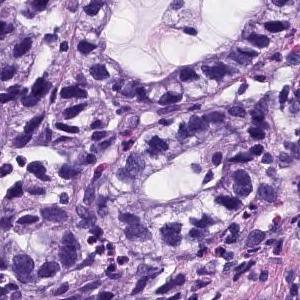
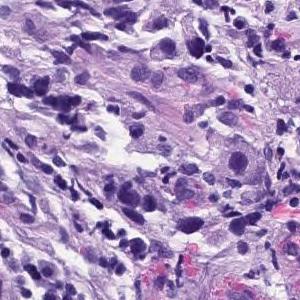
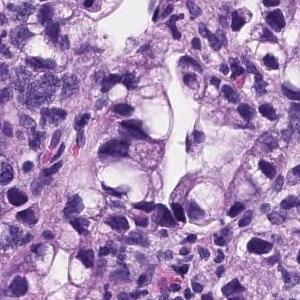
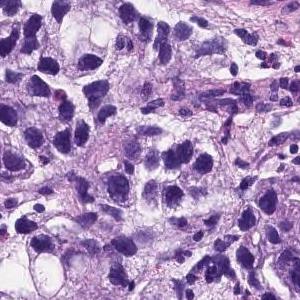
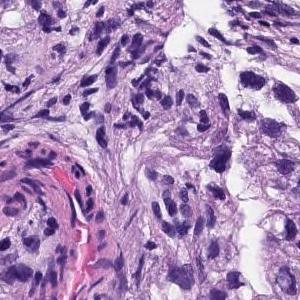
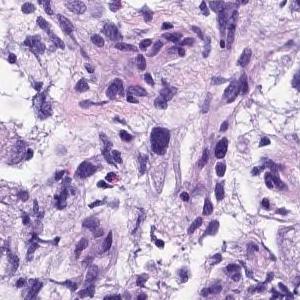
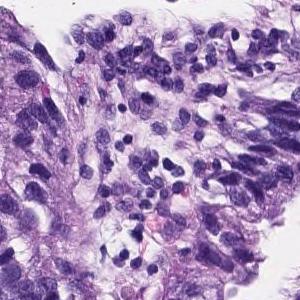
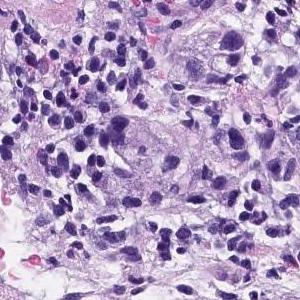
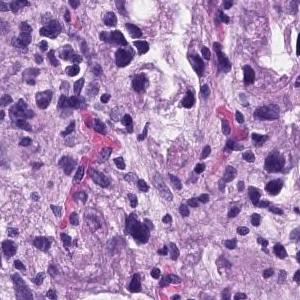
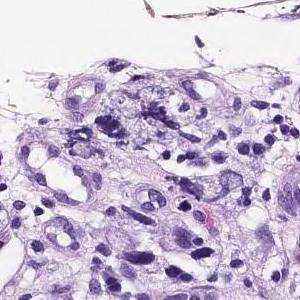
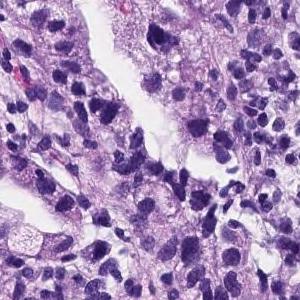
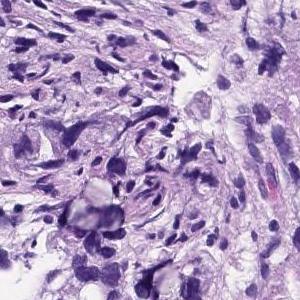
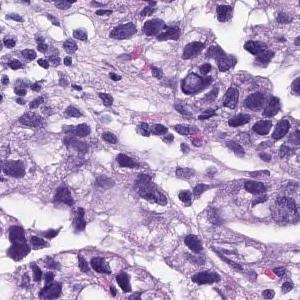
×20 · 13 image tiles from a single gastric biopsy slide · 300 × 300 pixels each.
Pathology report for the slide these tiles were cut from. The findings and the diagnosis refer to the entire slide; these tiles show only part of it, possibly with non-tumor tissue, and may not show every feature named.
Medium to small, irregular glandular ducts are formed in the superficial epithelium, and in some cases, the glandular ducts are fused to show solid alveolar lesions and infiltrating tumor tissue is observed. Poorly differentiated adenocarcinoma, Moderately differentiated adenocarcinoma.
Dataset label: moderately differentiated tubular adenocarcinoma.
